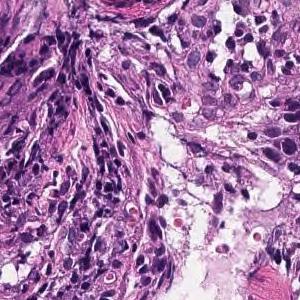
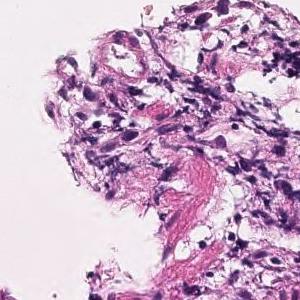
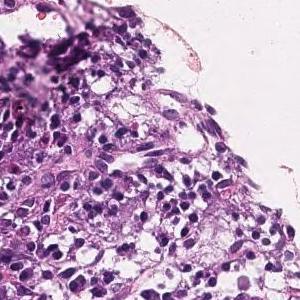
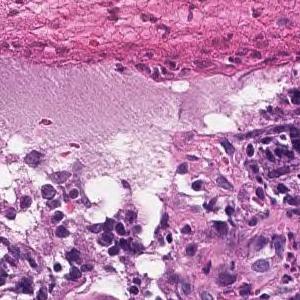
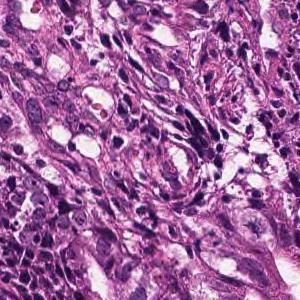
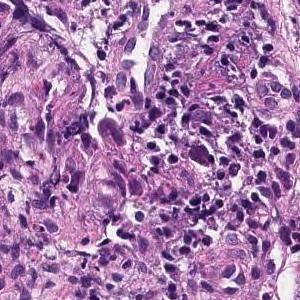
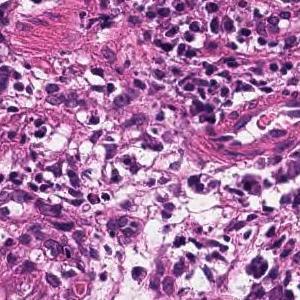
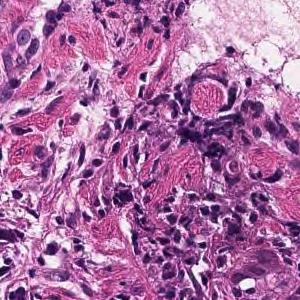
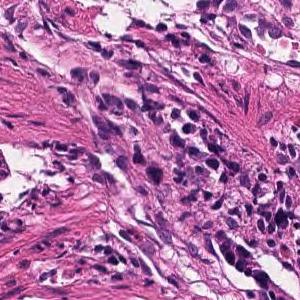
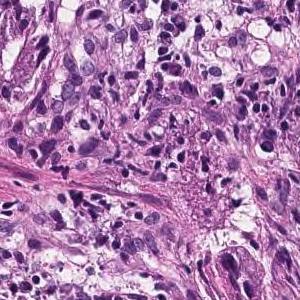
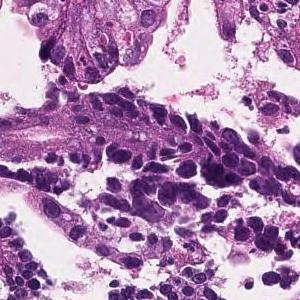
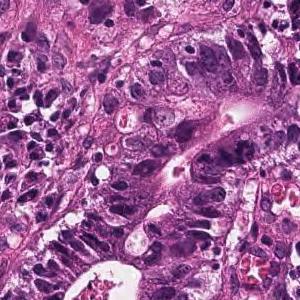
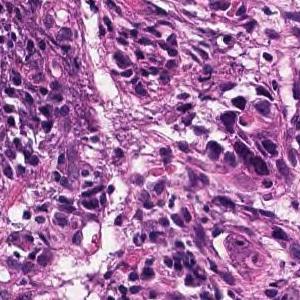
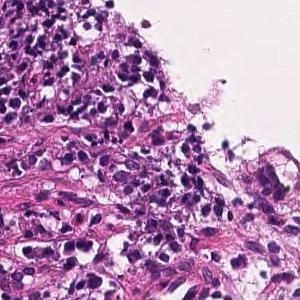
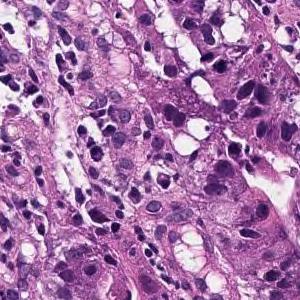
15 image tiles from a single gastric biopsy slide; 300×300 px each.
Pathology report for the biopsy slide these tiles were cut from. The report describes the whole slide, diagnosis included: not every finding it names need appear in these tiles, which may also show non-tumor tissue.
From the superficial epithelium to the muscularis mucosae, tumor tissue infiltrating by forming medium-sized irregular gland ducts is observed. Large tumor cells exhibit large nucleus and hyperchromatism. Well differentiated tubular adenocarcinoma
